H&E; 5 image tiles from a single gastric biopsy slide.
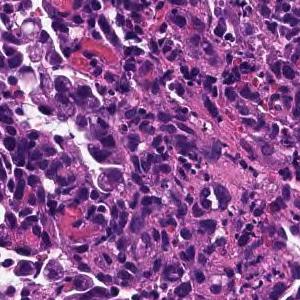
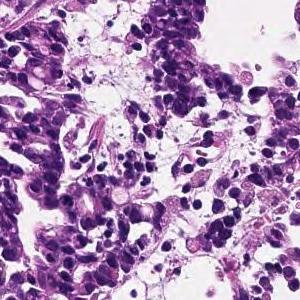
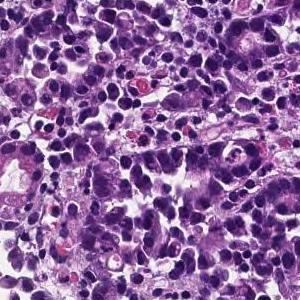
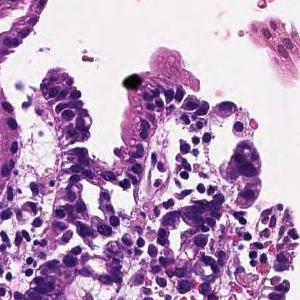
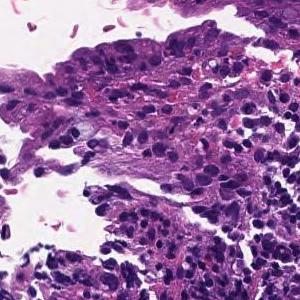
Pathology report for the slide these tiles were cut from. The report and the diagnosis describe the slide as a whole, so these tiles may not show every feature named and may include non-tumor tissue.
In the superficial epithelium, tumor tissue that invades by forming medium-sized to small, irregular ducts is observed. moderately differentiated tubular adenocarcinoma.
